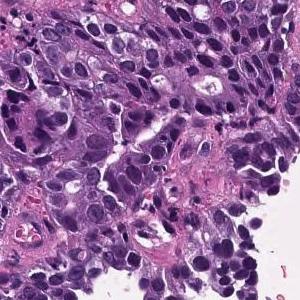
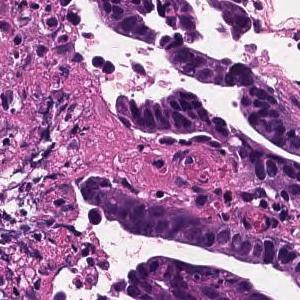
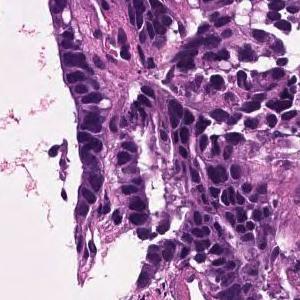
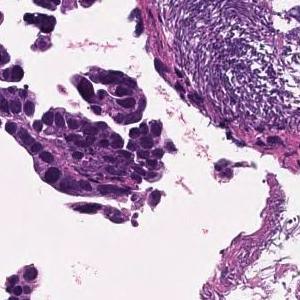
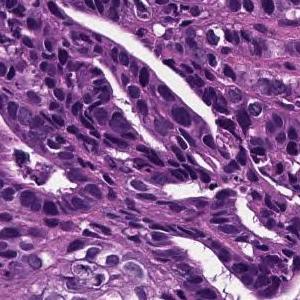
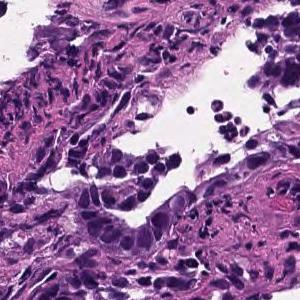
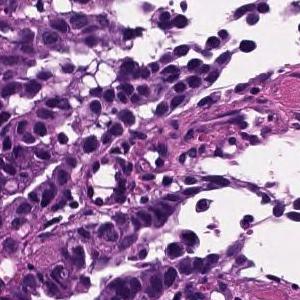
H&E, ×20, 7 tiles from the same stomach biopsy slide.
The pathologist's report on the biopsy slide these tiles were taken from. The report and the diagnosis cover the entire slide, so not every feature they name need be visible here, and some tissue shown may not be tumor.
Tumor cells are large, highly columnar, large club-shaped nuclei, and are associated with chromatin aggregation. Papillary adenocarcinoma.
